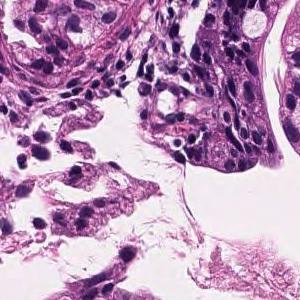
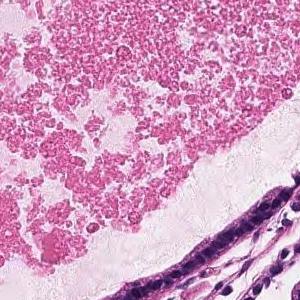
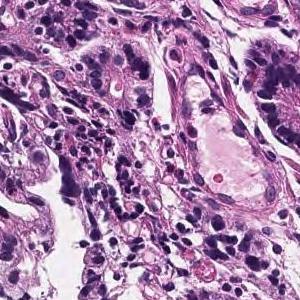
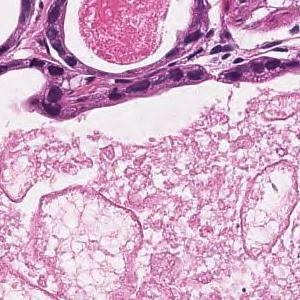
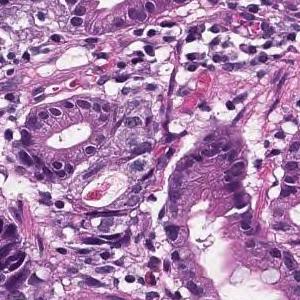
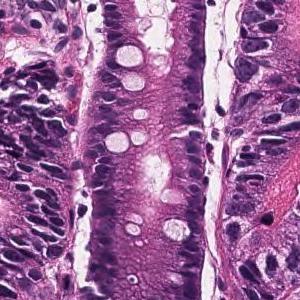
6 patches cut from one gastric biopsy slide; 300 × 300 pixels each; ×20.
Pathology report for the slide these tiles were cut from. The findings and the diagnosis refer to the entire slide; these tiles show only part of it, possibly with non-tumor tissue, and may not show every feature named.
Tumor tissue consisting of medium-sized and irregular ducts is observed infiltrating in the superficial epithelium. Tumor cells are highly columnar, with nuclei aligned basolaterally and polarized. Well differentiated tubular adenocarcinoma.
